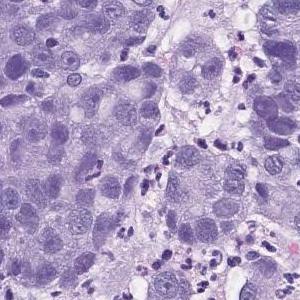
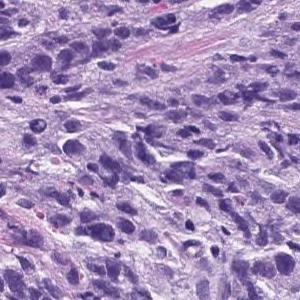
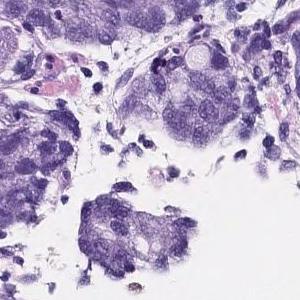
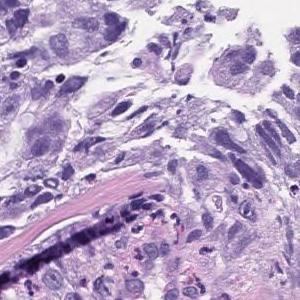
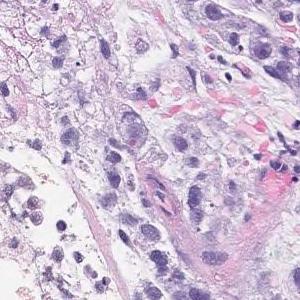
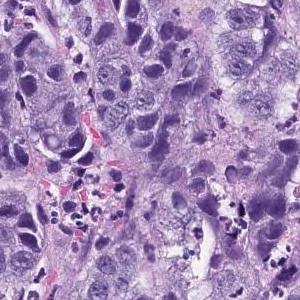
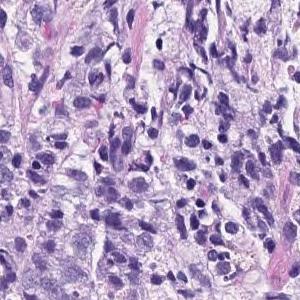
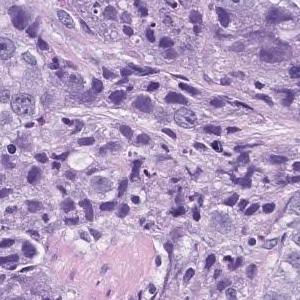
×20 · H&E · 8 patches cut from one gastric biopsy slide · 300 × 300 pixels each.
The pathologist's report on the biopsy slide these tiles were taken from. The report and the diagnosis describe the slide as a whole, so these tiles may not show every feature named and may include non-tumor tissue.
Atypical l cells with atypical nuclei forming solid vesicles or small irregular atypical ducts that proliferate in a complex manner. poorly differentiated adenocarcinoma, solid type, moderately differentiated tubular adenocarcinoma
The solid type named here is a Japanese Classification of Gastric Carcinoma category; WHO 2019 calls it tubular adenocarcinoma, poorly differentiated.
